H&E; scanned at ×20; 8 patches cut from one gastric biopsy slide.
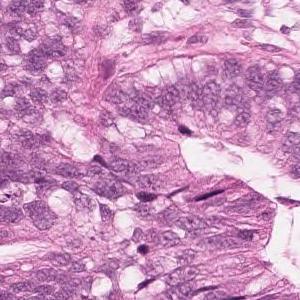
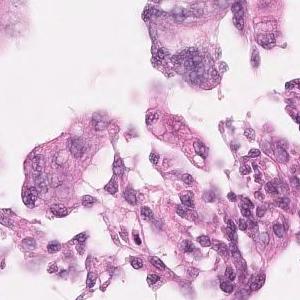
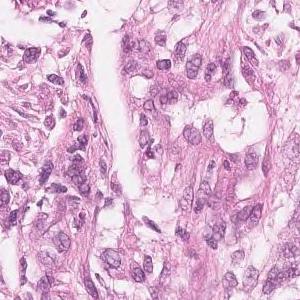
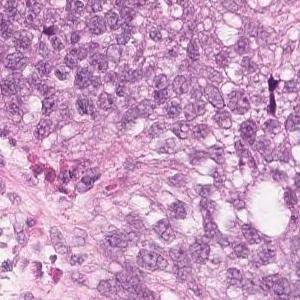
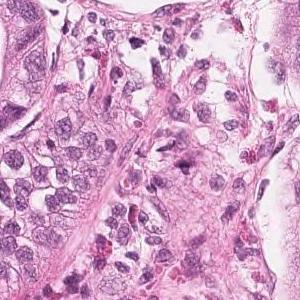
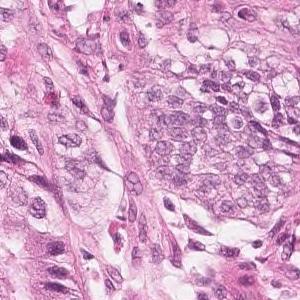
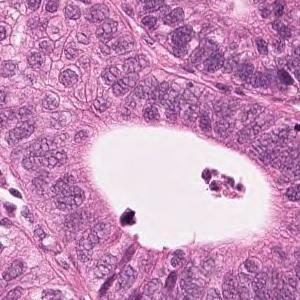
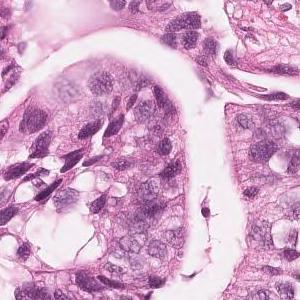
Pathology report for the slide these tiles were cut from. The report and the diagnosis cover the entire slide, so not every feature they name need be visible here, and some tissue shown may not be tumor.
Highly columnar epithelium with disordered nuclear localization proliferates showing fusion ductal construction. moderately differentiated tubular adenocarcinoma
